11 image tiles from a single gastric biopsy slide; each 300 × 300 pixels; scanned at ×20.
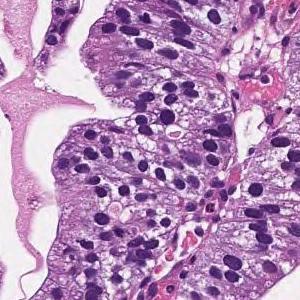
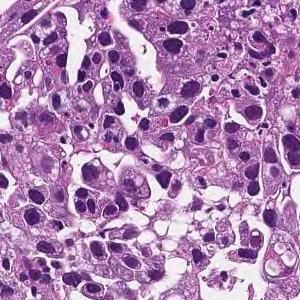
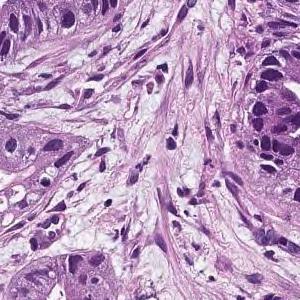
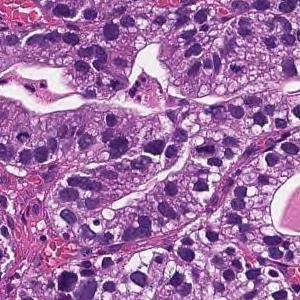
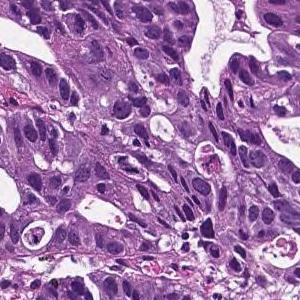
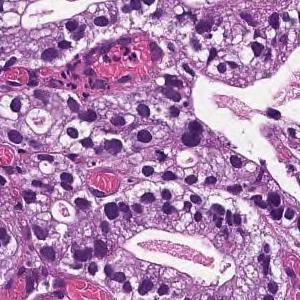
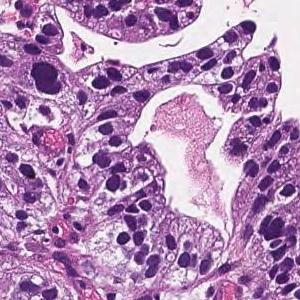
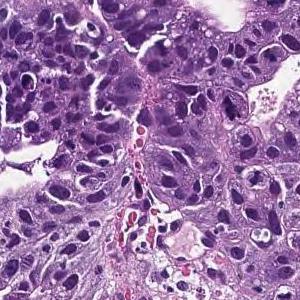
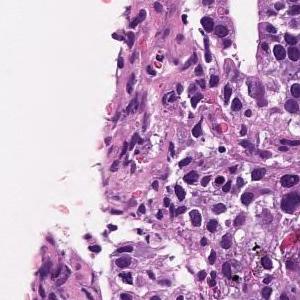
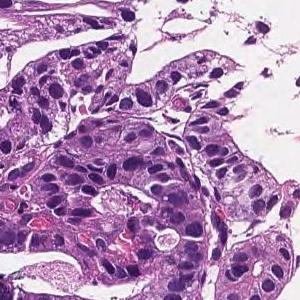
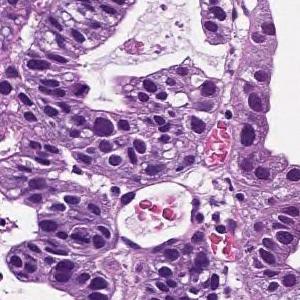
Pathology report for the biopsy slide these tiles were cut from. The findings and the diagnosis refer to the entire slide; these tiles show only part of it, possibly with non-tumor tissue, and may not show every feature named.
On the superficial epithelium, tumor tissue consisting of large, irregular glandular ducts partially fused and infiltrated is observed. Well to moderately differentiated tubular adenocarcinoma (well differentiated tubular adenocarcinoma, moderately differentiated tubular adenocarcinoma)
Tumor subtype: well to moderately differentiated tubular adenocarcinoma.
